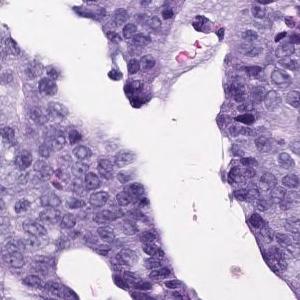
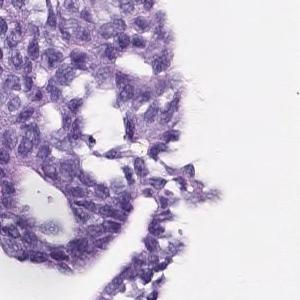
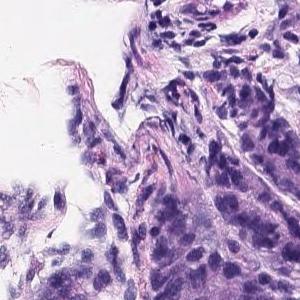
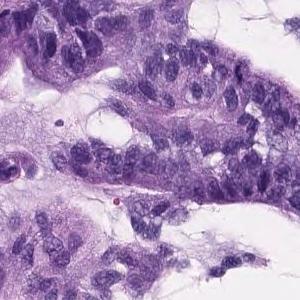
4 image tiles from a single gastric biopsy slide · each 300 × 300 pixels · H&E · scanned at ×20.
Pathology report for the slide these tiles were cut from. The report and the diagnosis describe the slide as a whole, so these tiles may not show every feature named and may include non-tumor tissue.
In the superficial epithelium, tumor tissue that invades by forming medium-sized to small, irregular ducts is observed. Well to moderately differentiated tubular adenocarcinoma.
